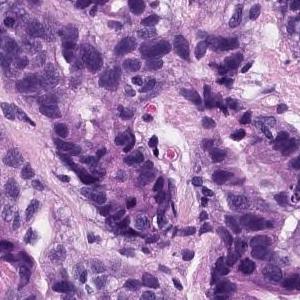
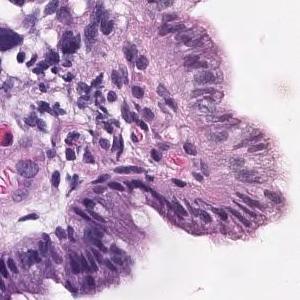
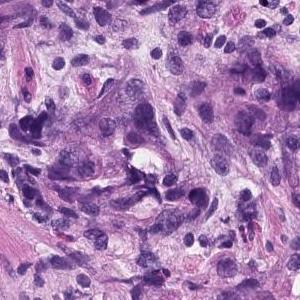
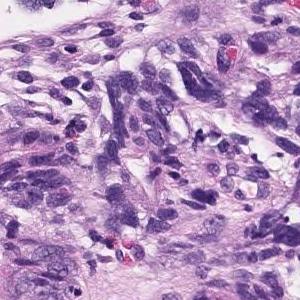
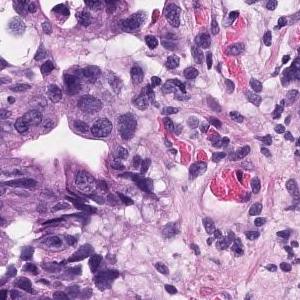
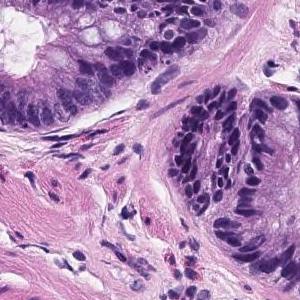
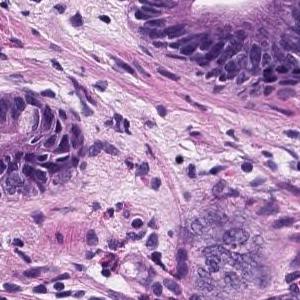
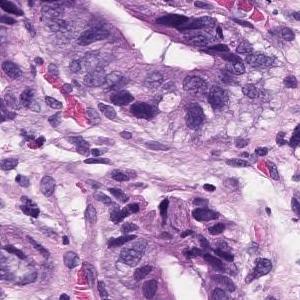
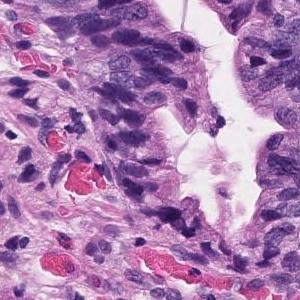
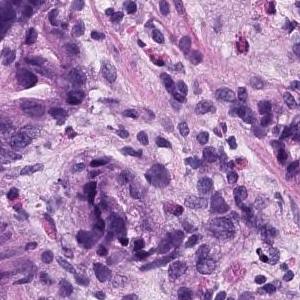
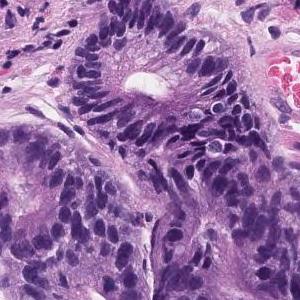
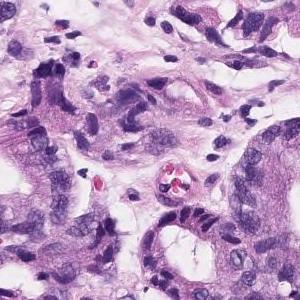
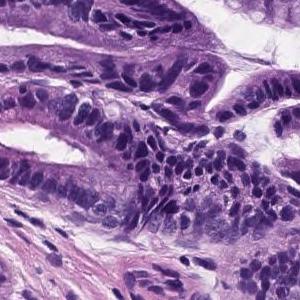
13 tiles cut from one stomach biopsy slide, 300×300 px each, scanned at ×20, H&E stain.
The pathologist's report on the biopsy slide these tiles were taken from. The report and the diagnosis cover the entire slide, so not every feature they name need be visible here, and some tissue shown may not be tumor.
In the superficial epithelium, tumor tissue that invades by forming medium-sized to small, irregular ducts is observed. Moderately differentiated adenocarcinoma.
Histologic type: Moderately differentiated tubular adenocarcinoma.
